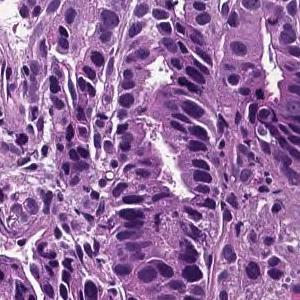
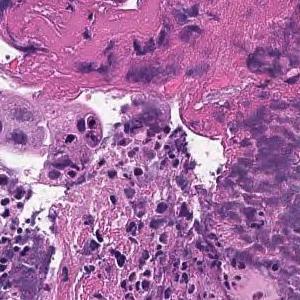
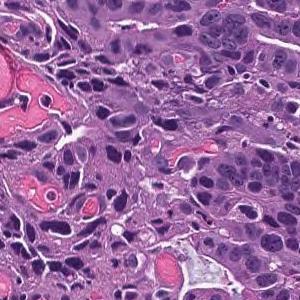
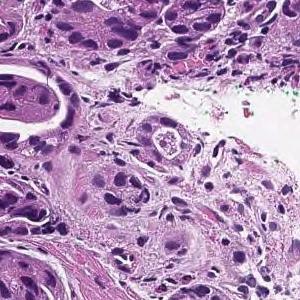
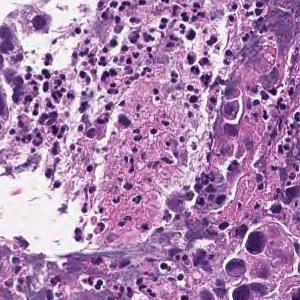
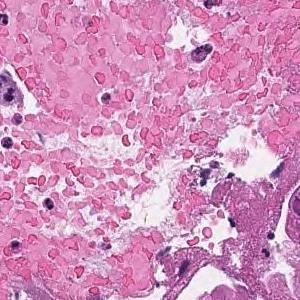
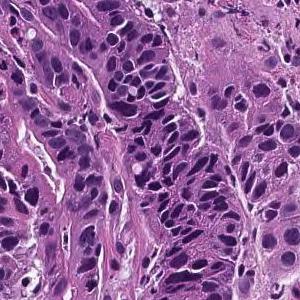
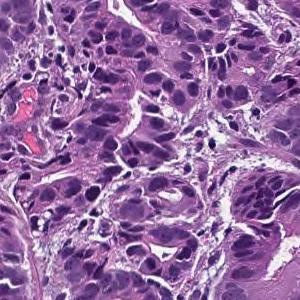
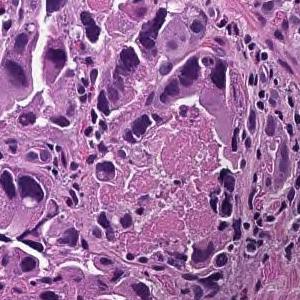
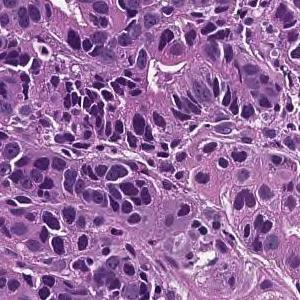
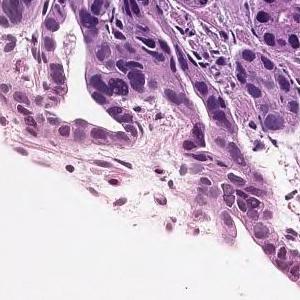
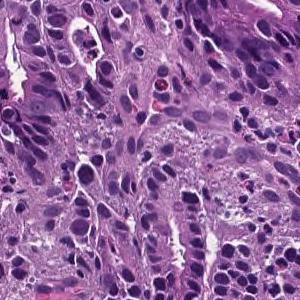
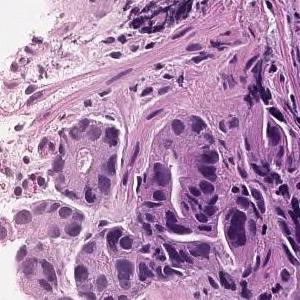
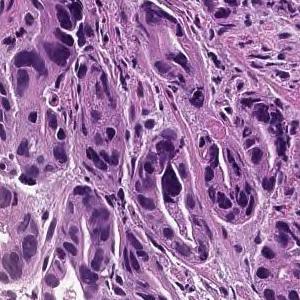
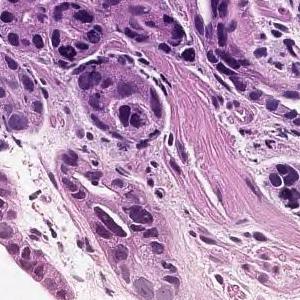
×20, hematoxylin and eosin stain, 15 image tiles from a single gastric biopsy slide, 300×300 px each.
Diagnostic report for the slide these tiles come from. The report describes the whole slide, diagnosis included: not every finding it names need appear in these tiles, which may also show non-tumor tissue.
In the superficial epithelium, tumor tissue that invades by forming medium-sized to small, irregular ducts is observed. moderately differentiated tubular adenocarcinoma.
